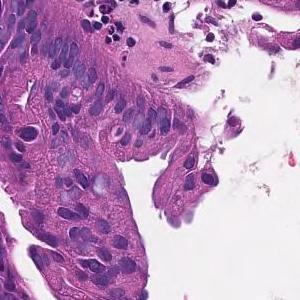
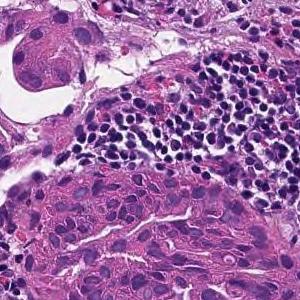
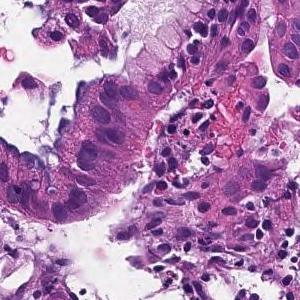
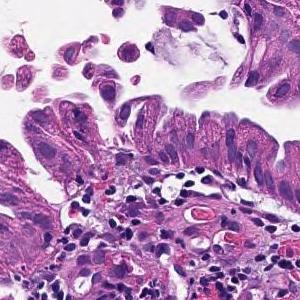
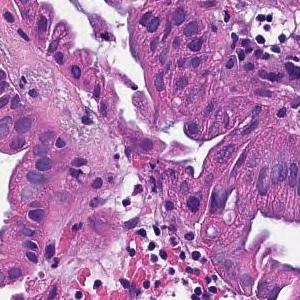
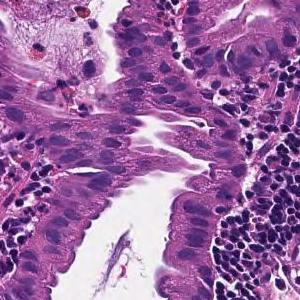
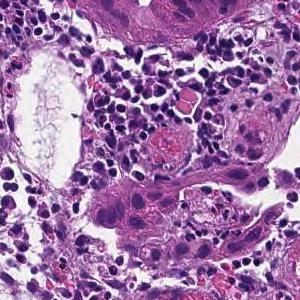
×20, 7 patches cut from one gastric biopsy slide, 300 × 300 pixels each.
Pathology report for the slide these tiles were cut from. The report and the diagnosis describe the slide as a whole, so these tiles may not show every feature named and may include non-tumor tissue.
On the superficial epithelium, tumor tissue that infiltrates by forming medium-sized papillary or small irregular ducts is observed. Papillary adenocarcinoma
